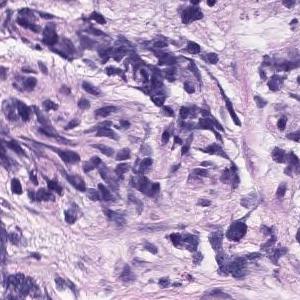
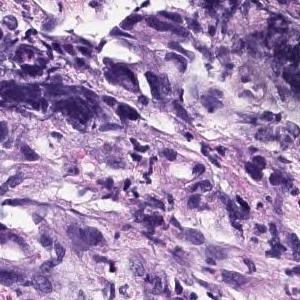
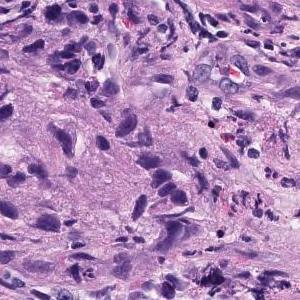
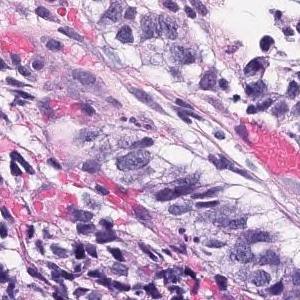
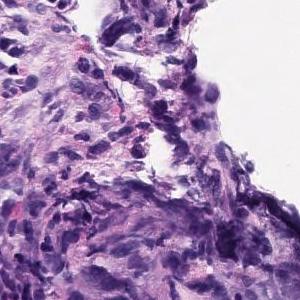
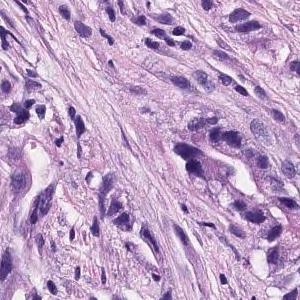
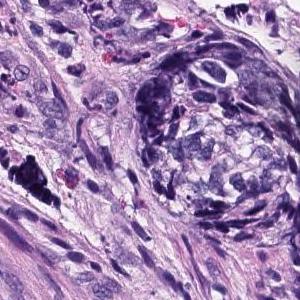
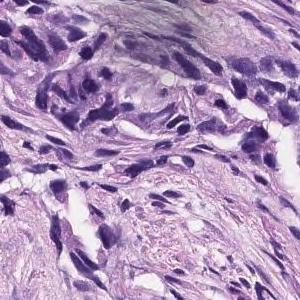
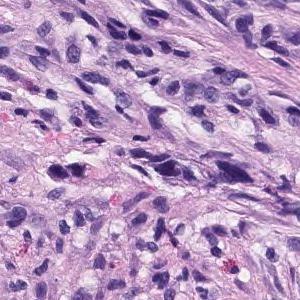
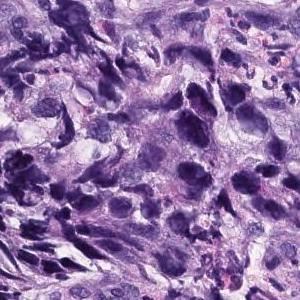
10 tiles cut from one stomach biopsy slide; scanned at ×20; hematoxylin and eosin stain.
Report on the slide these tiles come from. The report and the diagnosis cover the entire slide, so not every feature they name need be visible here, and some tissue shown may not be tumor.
The superficial epithelium shows small cord-like infiltrating tumor tissue. Some part of neoplastic cells are signet ring cell type which show single invasion manner. Poorly differentiated adenocarcinoma, non-solid type.
The non-solid type named here is a Japanese Classification of Gastric Carcinoma category.
